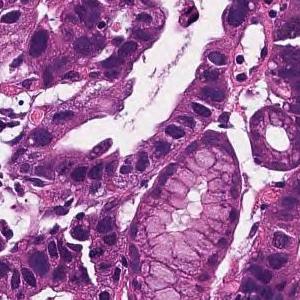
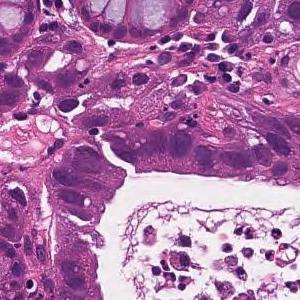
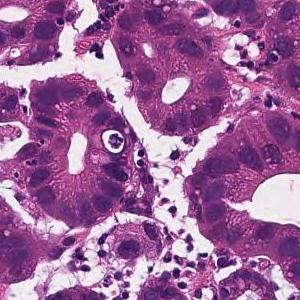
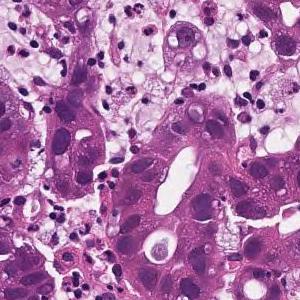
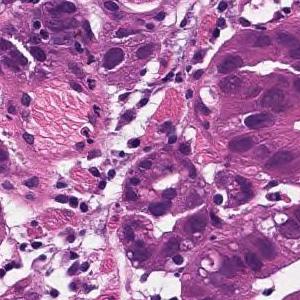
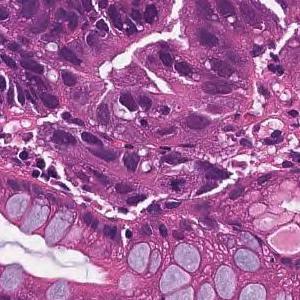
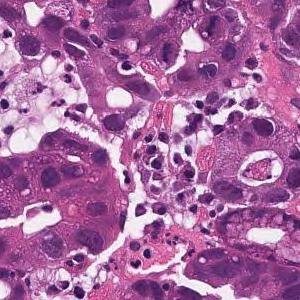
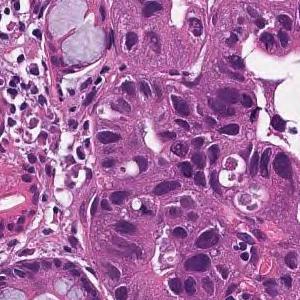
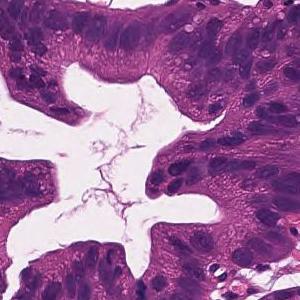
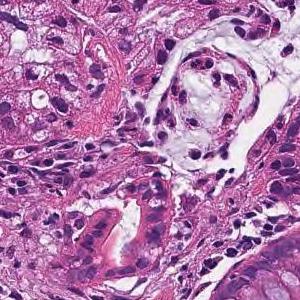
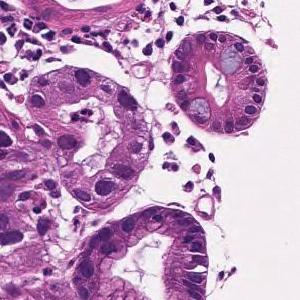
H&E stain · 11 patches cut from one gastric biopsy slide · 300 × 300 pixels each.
Pathology report for the slide these tiles were cut from. The report and the diagnosis describe the slide as a whole, so these tiles may not show every feature named and may include non-tumor tissue.
In the superficial epithelium, tumor tissue that invades by forming medium-sized to small, irregular ducts is observed. moderately differentiated tubular adenocarcinoma.
